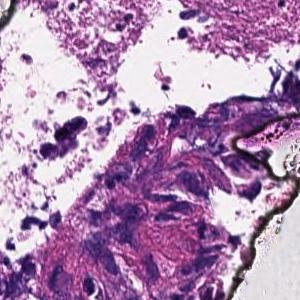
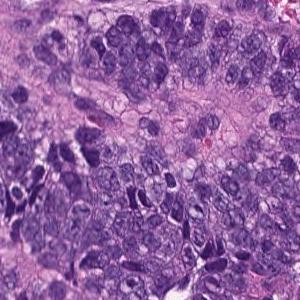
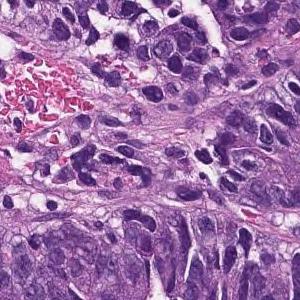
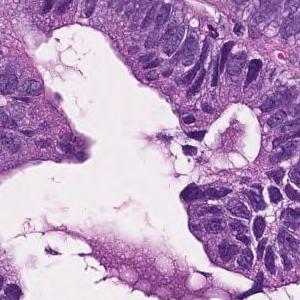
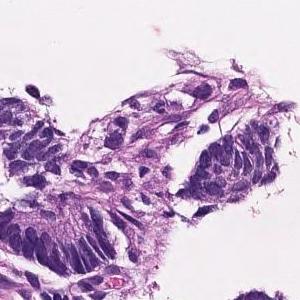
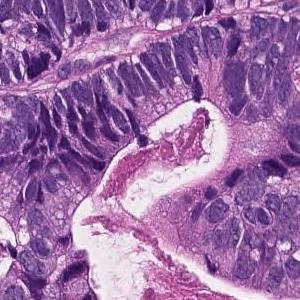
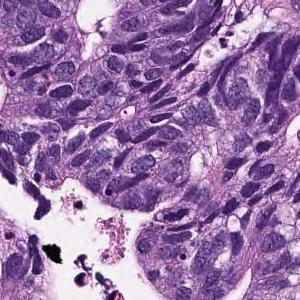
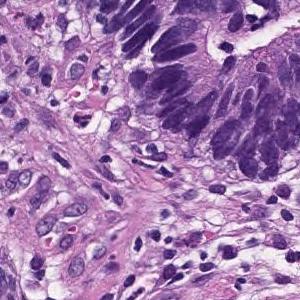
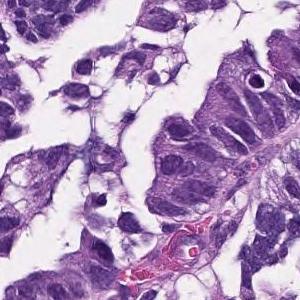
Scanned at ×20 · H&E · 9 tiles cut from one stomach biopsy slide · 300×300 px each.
The pathologist's report on the biopsy slide these tiles were taken from. The report describes the whole slide, diagnosis included: not every finding it names need appear in these tiles, which may also show non-tumor tissue.
In the superficial epithelium, tumor tissue that invades by forming medium-sized to small, irregular ducts is observed. moderately differentiated tubular adenocarcinoma.
